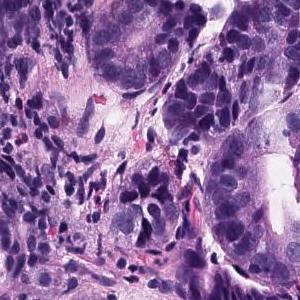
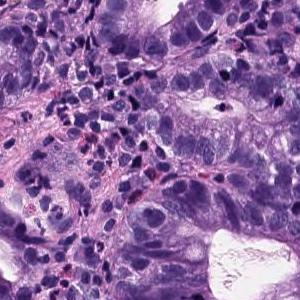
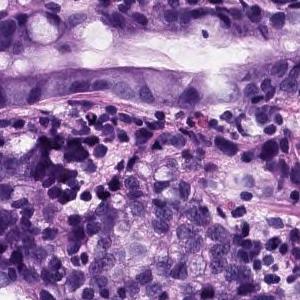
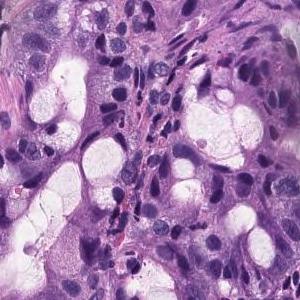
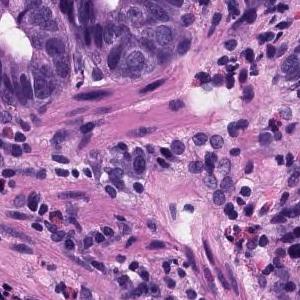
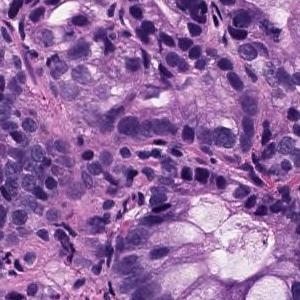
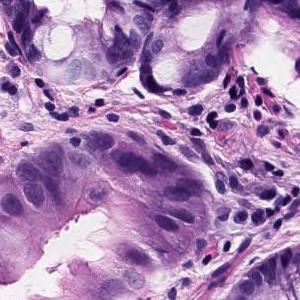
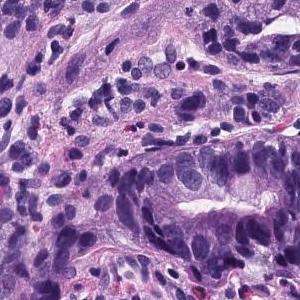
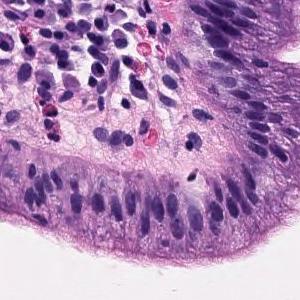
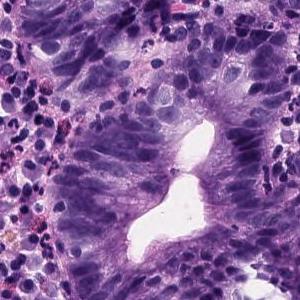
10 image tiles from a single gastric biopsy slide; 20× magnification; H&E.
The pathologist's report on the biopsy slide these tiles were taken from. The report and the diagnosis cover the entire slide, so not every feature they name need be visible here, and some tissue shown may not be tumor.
Tumor cells with strong nuclear atypia proliferate invasively, forming small to medium-sized irregular shaped ducts. moderately differentiated tubular adenocarcinoma
